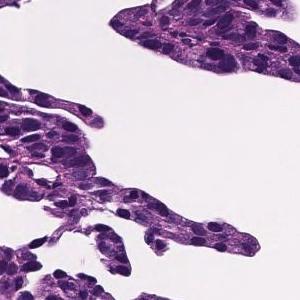
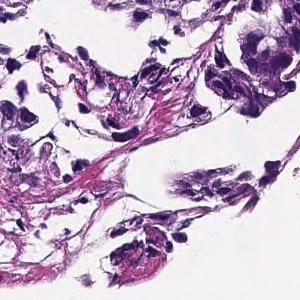
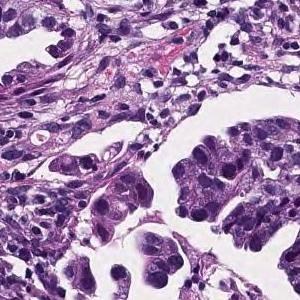
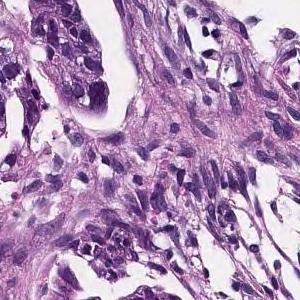
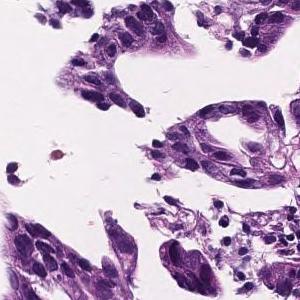
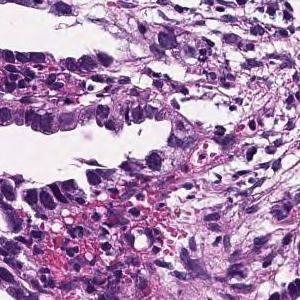
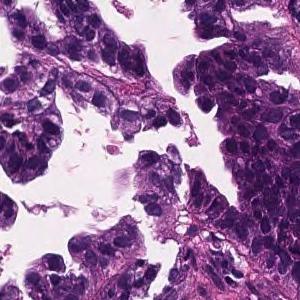
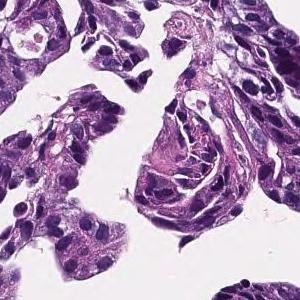
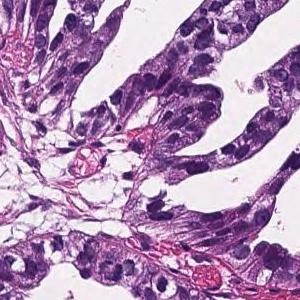
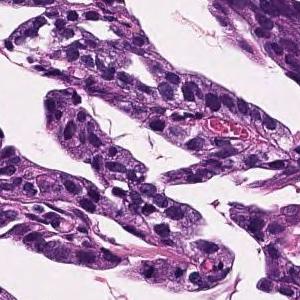
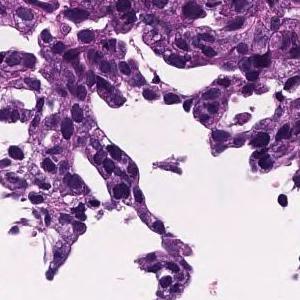
11 tiles cut from one stomach biopsy slide · 300 × 300 pixels each · H&E.
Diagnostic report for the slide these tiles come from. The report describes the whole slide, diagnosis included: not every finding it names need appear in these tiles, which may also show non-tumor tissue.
In the lamina propria, tumor tissue that invades by forming medium-sized to small, irregular glandular ducts is observed. moderately differentiated tubular adenocarcinoma
